Scanned at ×20, 13 patches cut from one gastric biopsy slide, 300 × 300 pixels each.
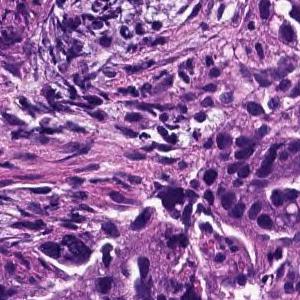
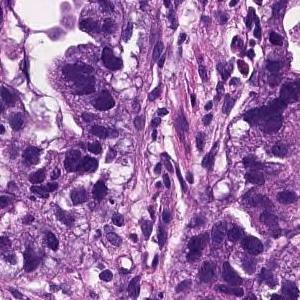
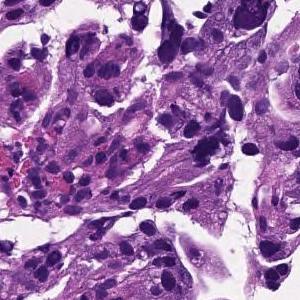
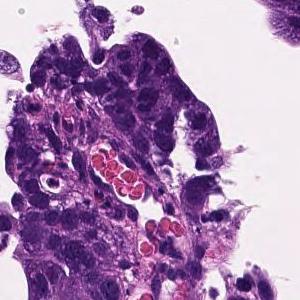
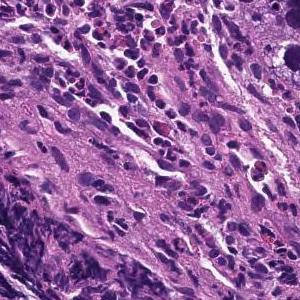
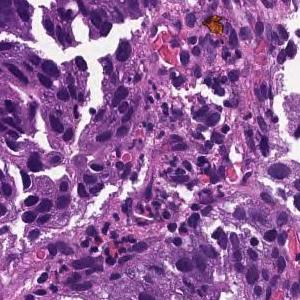
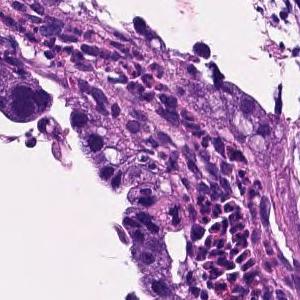
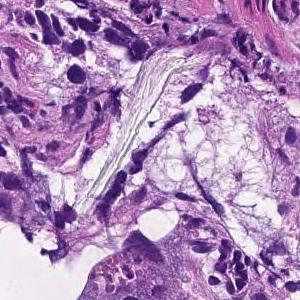
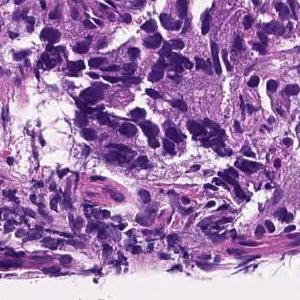
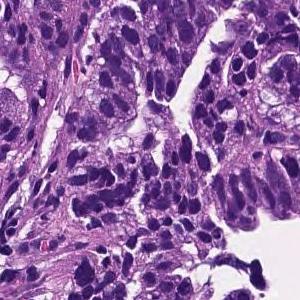
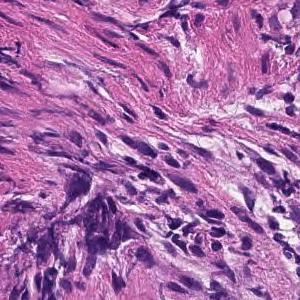
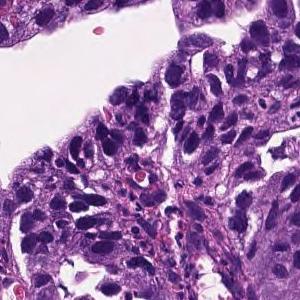
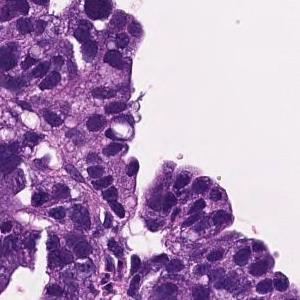
Pathology report for the slide these tiles were cut from. Both the report and the diagnosis are for the whole slide: these tiles need not show every feature named, and some of the tissue shown may not be tumor.
Tumor tissue consisting of large papillary structures is found in the superficial epithelium. Papillary adenocarcinoma.
